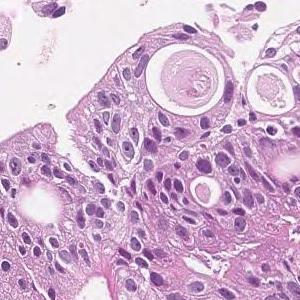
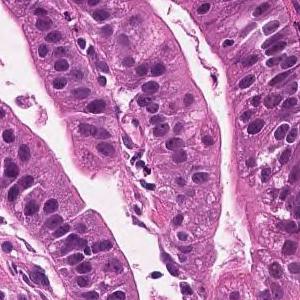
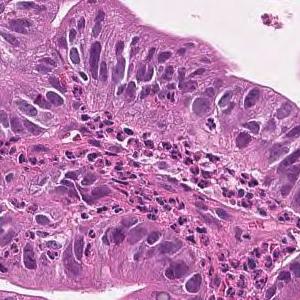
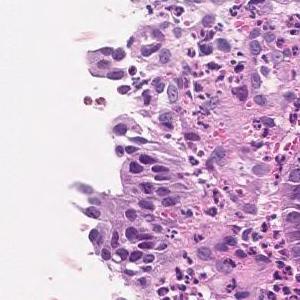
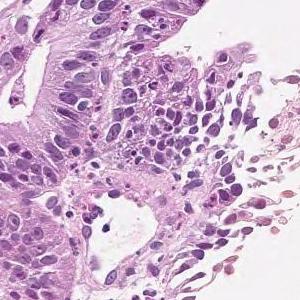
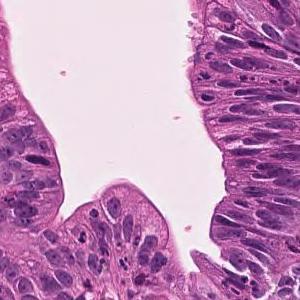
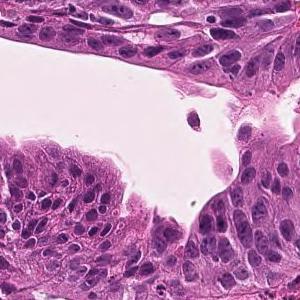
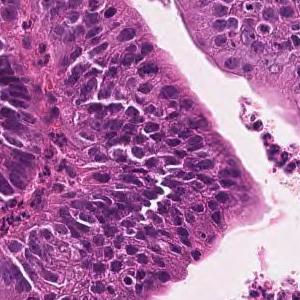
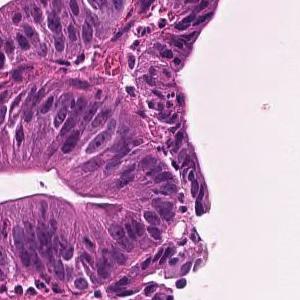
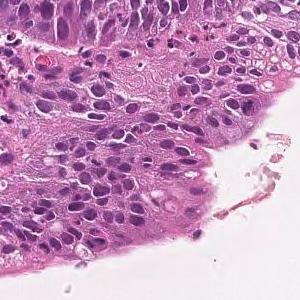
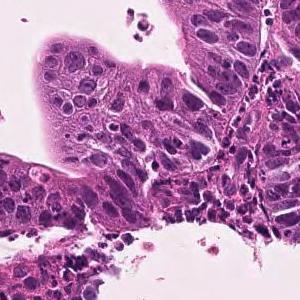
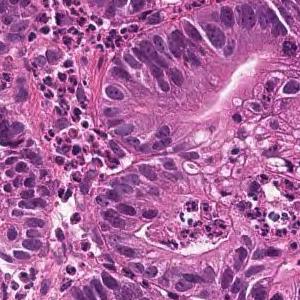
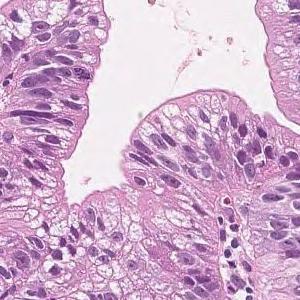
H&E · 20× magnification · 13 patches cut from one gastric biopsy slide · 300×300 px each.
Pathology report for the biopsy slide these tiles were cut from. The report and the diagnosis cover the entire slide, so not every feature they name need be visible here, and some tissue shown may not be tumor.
Tumor cells are large, highly columnar, large club-shaped nuclei, and are associated with chromatin aggregation. Papillary adenocarcinoma.
